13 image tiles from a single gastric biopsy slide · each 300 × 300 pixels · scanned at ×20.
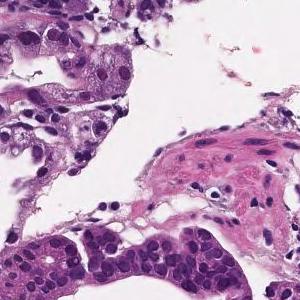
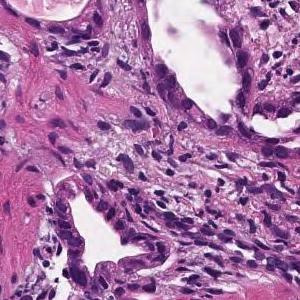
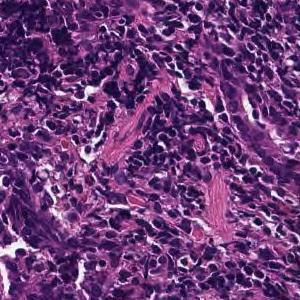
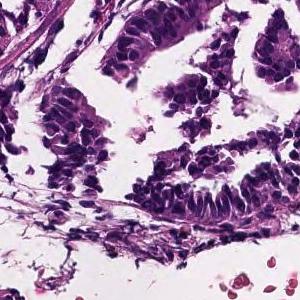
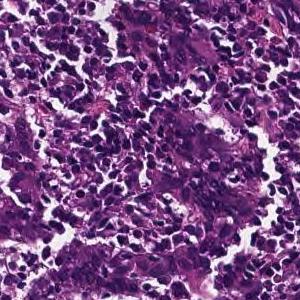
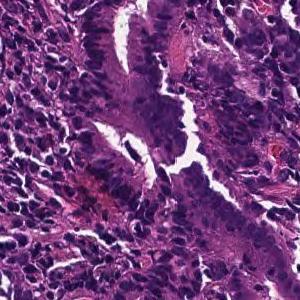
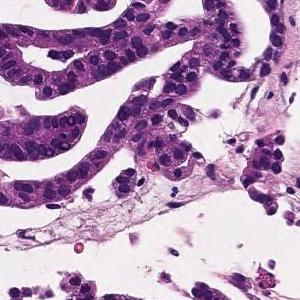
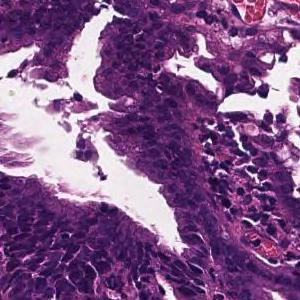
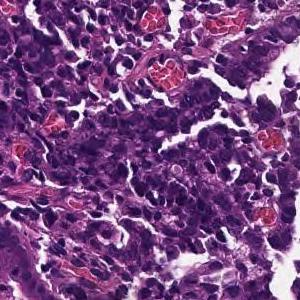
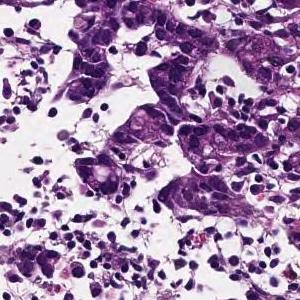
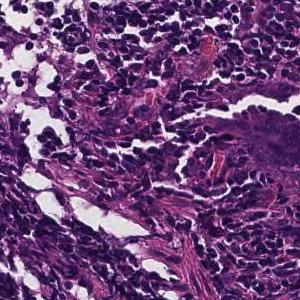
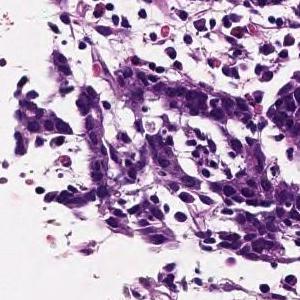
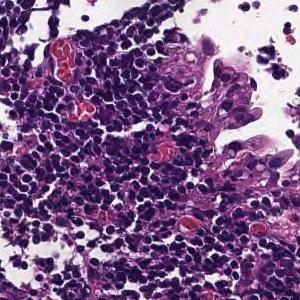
The pathologist's report on the biopsy slide these tiles were taken from. The report and the diagnosis cover the entire slide, so not every feature they name need be visible here, and some tissue shown may not be tumor.
Tumor tissue consisting of medium-sized, cord-like or irregular glandular infiltration is observed in the superficial epithelium. Poorly differentiated adenocarcinoma, non-solid type or moderately differentiated tubular adenocarcinoma
Histologic type: Moderately to poorly differentiated adenocarcinoma.
The term "non-solid type" comes from the Japanese Classification of Gastric Carcinoma.
